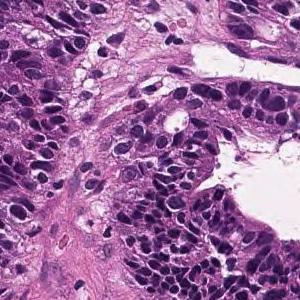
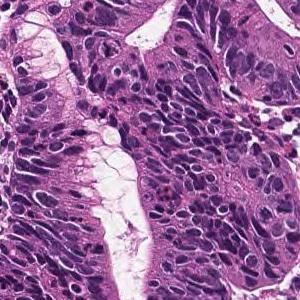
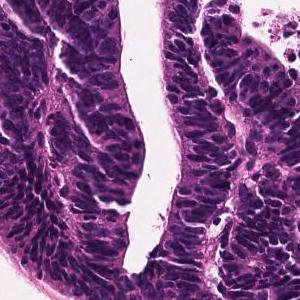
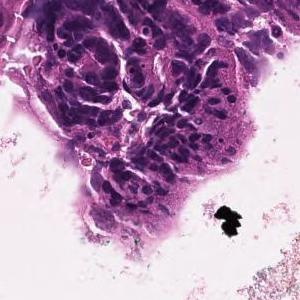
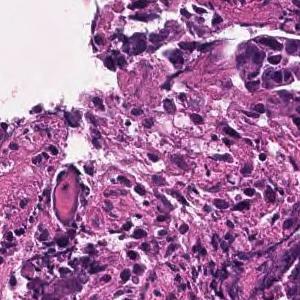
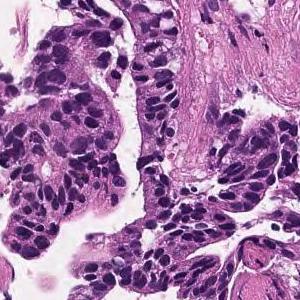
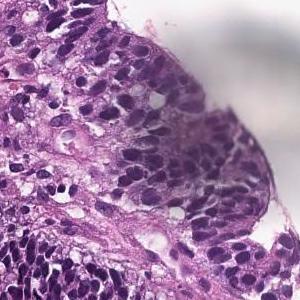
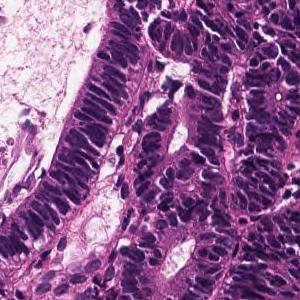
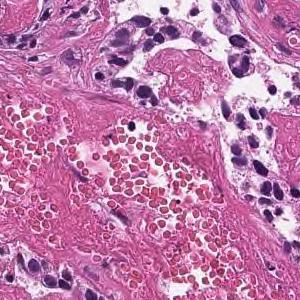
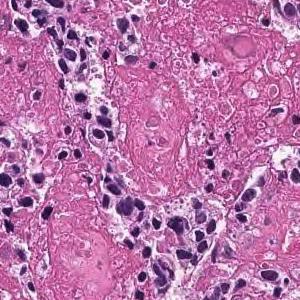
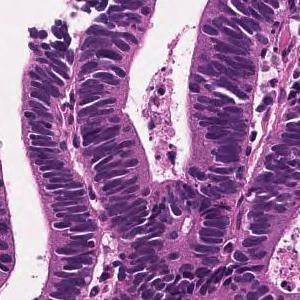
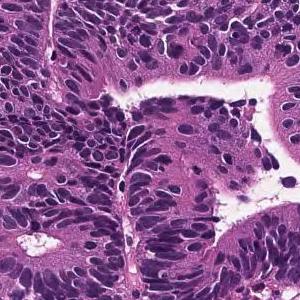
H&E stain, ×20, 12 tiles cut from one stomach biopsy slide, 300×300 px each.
Diagnostic report for the slide these tiles come from. The report and the diagnosis cover the entire slide, so not every feature they name need be visible here, and some tissue shown may not be tumor.
In the superficial epithelium, tumor tissue that invades by forming medium-sized to small, irregular ducts is observed. Well differentiated tubular adenocarcinoma.
